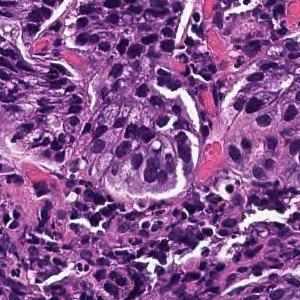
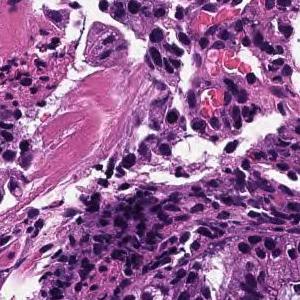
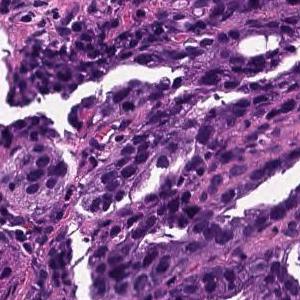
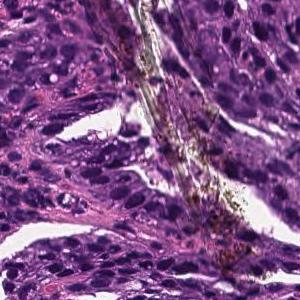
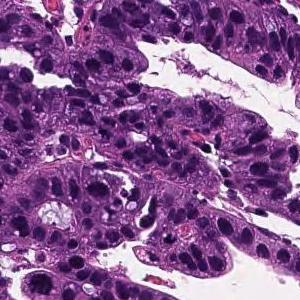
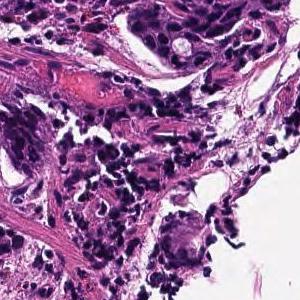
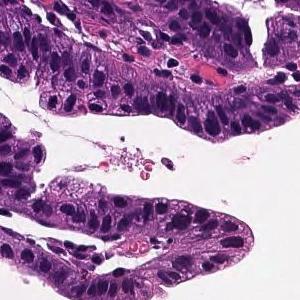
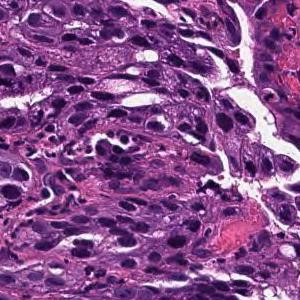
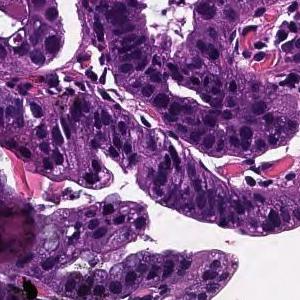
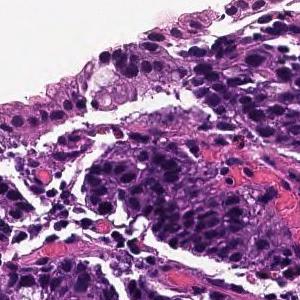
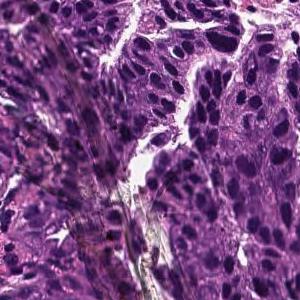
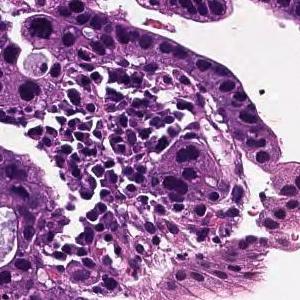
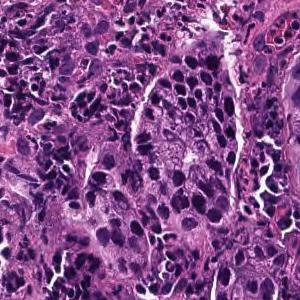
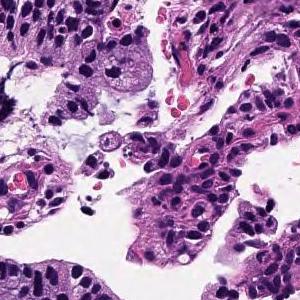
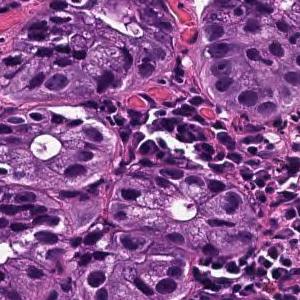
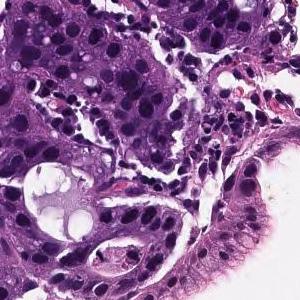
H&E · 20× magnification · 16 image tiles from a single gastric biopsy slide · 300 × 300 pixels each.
Pathology report for the biopsy slide these tiles were cut from. Both the report and the diagnosis are for the whole slide: these tiles need not show every feature named, and some of the tissue shown may not be tumor.
In the superficial epithelium, tumor tissue that invades by forming medium-sized to small, irregular ducts is observed. moderately differentiated tubular adenocarcinoma.
